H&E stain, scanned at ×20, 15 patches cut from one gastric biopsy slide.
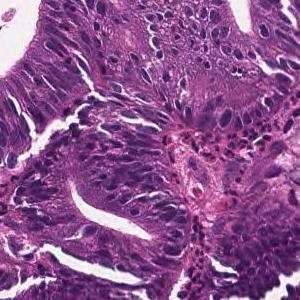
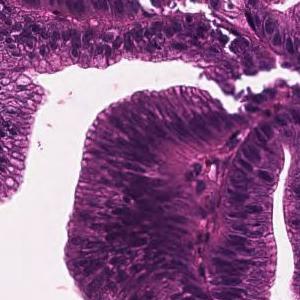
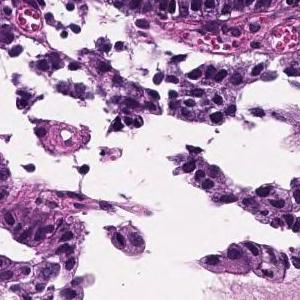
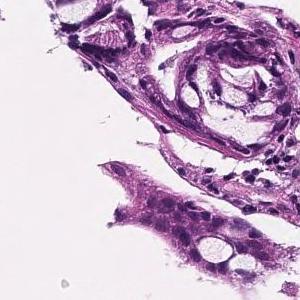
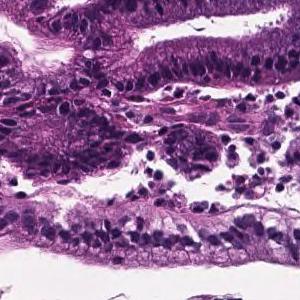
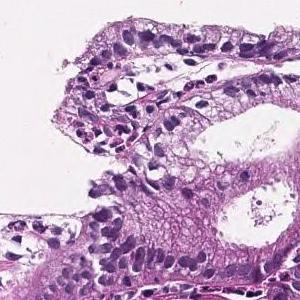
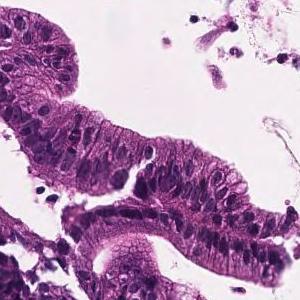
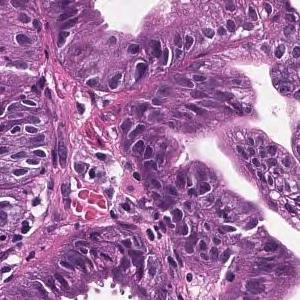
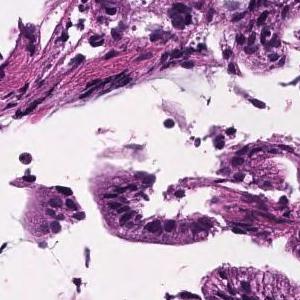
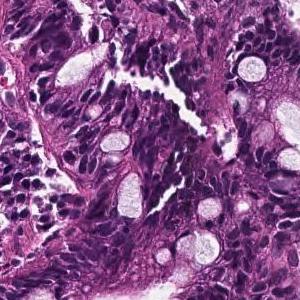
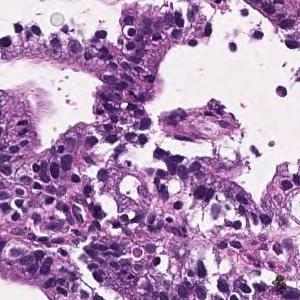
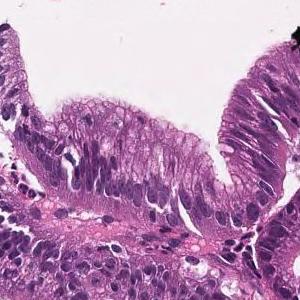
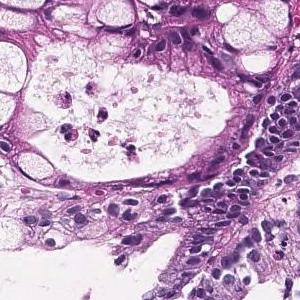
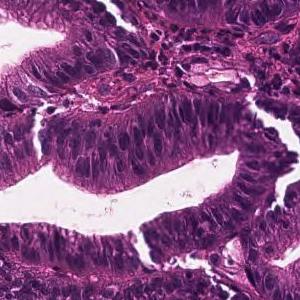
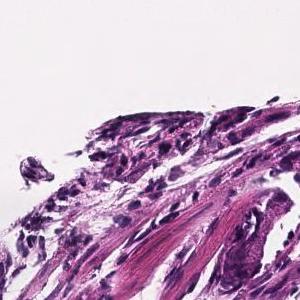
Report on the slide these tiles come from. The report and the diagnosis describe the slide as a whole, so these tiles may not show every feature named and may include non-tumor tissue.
In the superficial epithelium, tumor tissue that invades by forming medium-sized to small, irregular ducts is observed. Well differentiated tubular adenocarcinoma.
